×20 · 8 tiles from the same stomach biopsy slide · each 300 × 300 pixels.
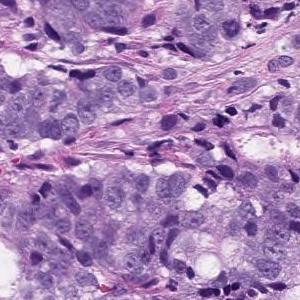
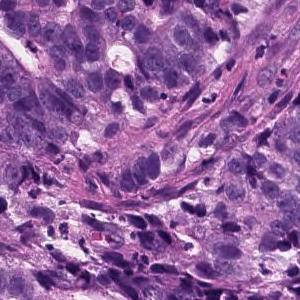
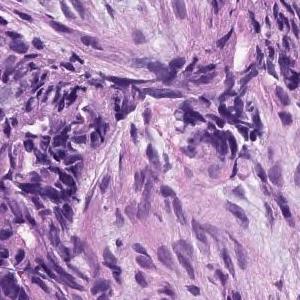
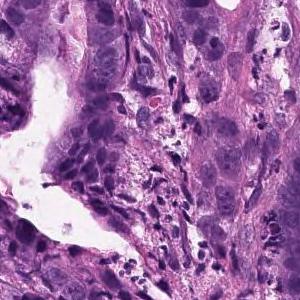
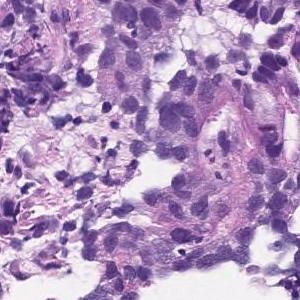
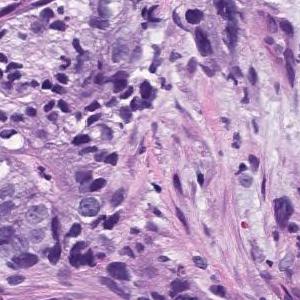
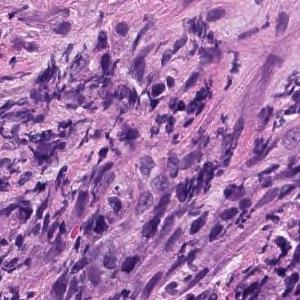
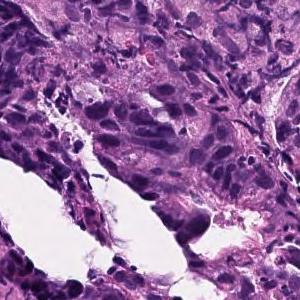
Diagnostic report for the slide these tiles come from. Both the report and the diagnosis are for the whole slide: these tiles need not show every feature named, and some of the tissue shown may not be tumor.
Medium to small, irregular glandular ducts are formed in the superficial epithelium, and in some cases, the glandular ducts are fused to show solid alveolar lesions and infiltrating tumor tissue is observed. Moderately to poorly differentiated adenocarcinoma.
